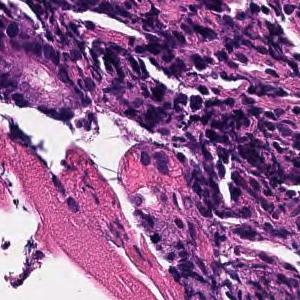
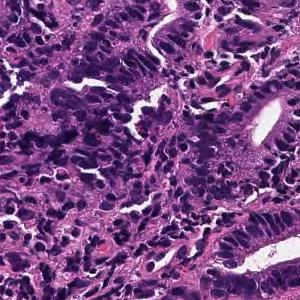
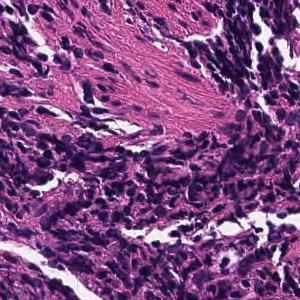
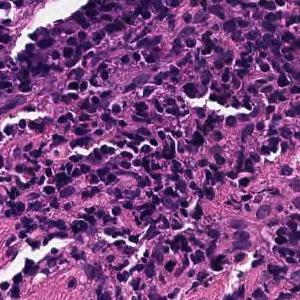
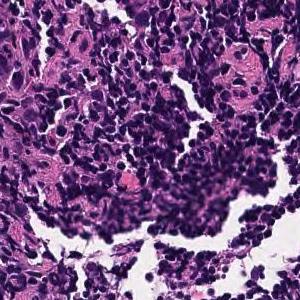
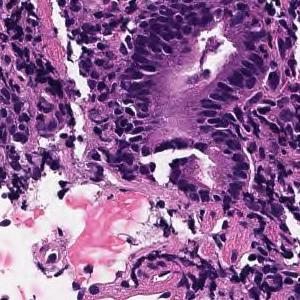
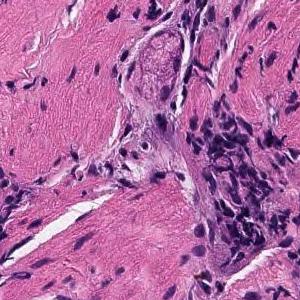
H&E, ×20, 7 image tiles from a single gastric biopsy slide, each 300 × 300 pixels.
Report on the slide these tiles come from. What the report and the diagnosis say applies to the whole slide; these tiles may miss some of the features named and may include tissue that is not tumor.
In the superficial epithelium, tumor tissue that invades by forming medium-sized to small, irregular ducts is observed. moderately differentiated tubular adenocarcinoma.
